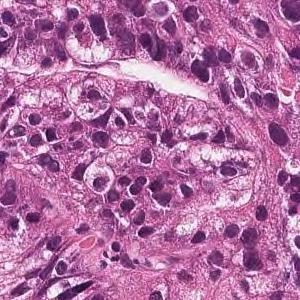
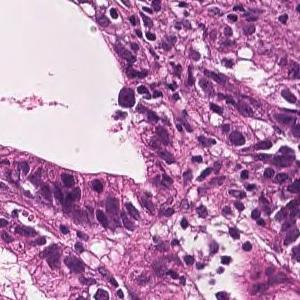
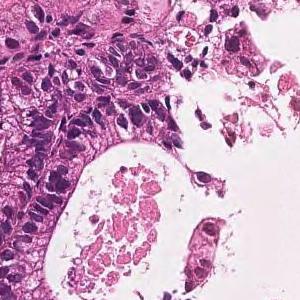
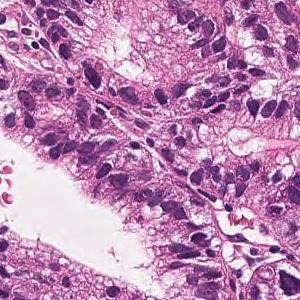
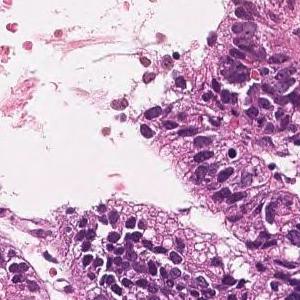
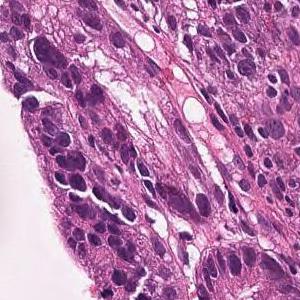
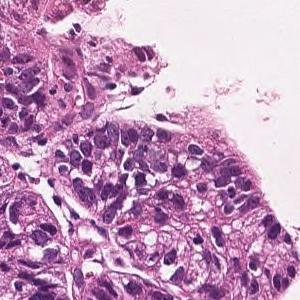
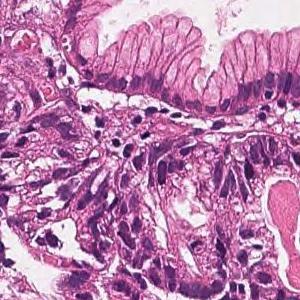
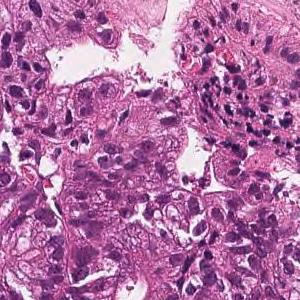
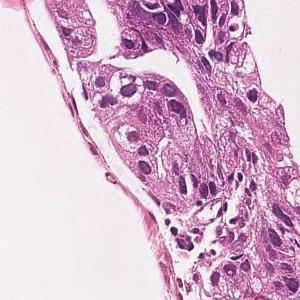
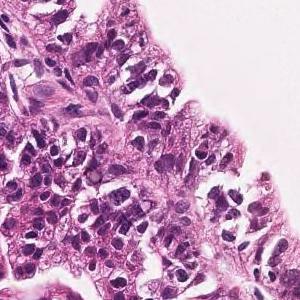
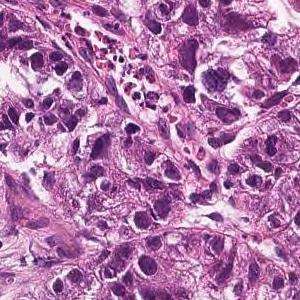
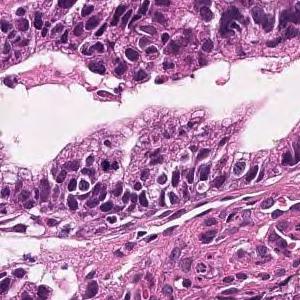
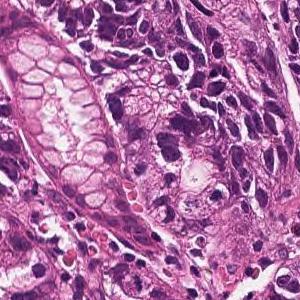
Hematoxylin and eosin stain, 14 image tiles from a single gastric biopsy slide, 300 × 300 pixels each.
Report on the slide these tiles come from. What the report and the diagnosis say applies to the whole slide; these tiles may miss some of the features named and may include tissue that is not tumor.
On the superficial epithelium, tumor tissue consisting of large, irregular glandular ducts partially fused and infiltrated is observed. Well to moderately differentiated tubular adenocarcinoma (well differentiated tubular adenocarcinoma, moderately differentiated tubular adenocarcinoma)
Histological subtype: Well to moderately differentiated tubular adenocarcinoma.
